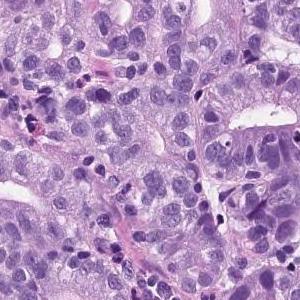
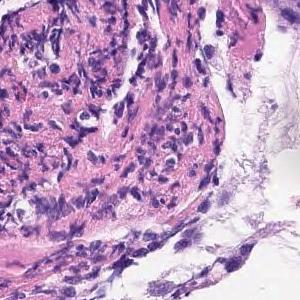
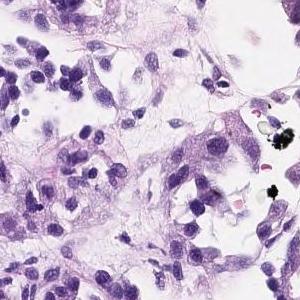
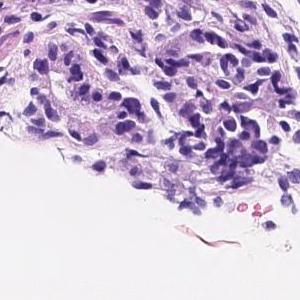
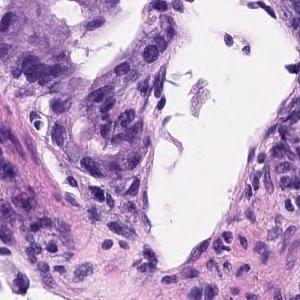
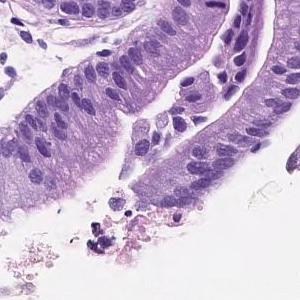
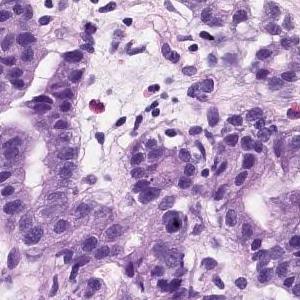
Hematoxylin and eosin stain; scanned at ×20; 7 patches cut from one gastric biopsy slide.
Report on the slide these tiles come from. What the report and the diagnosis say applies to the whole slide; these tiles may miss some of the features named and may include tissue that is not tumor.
Tumor tissue consisting of medium-sized and irregular ducts is observed infiltrating in the superficial epithelium. Tumor cells are highly columnar, with nuclei aligned basolaterally and polarized. Well differentiated tubular adenocarcinoma.
